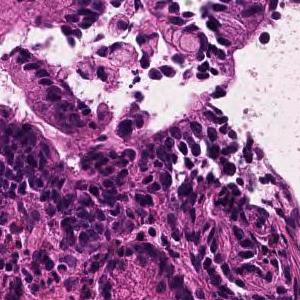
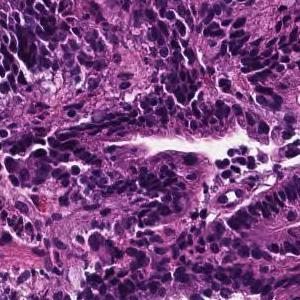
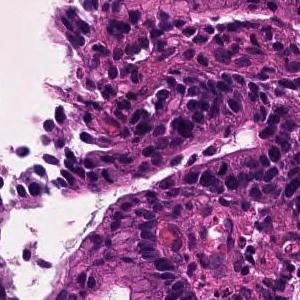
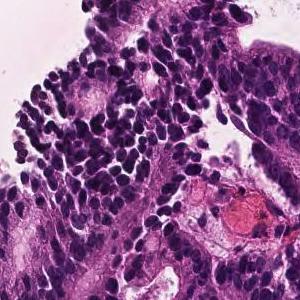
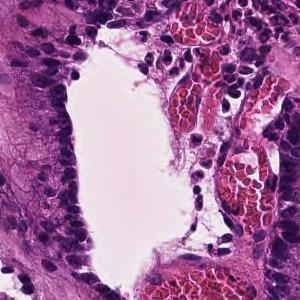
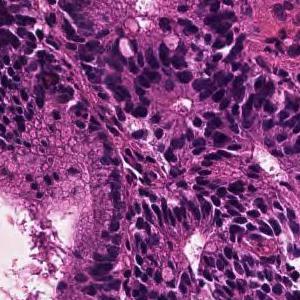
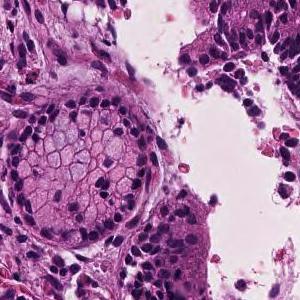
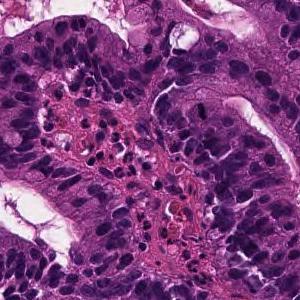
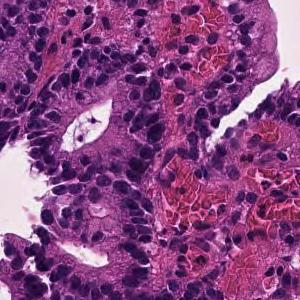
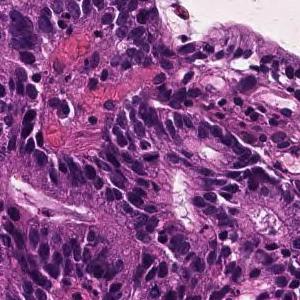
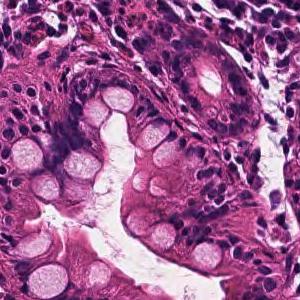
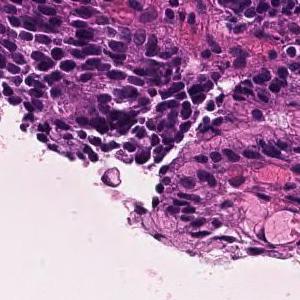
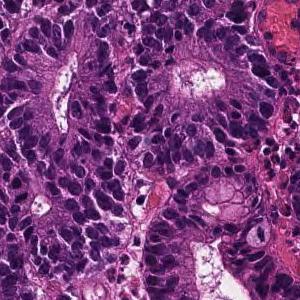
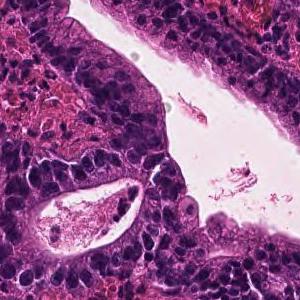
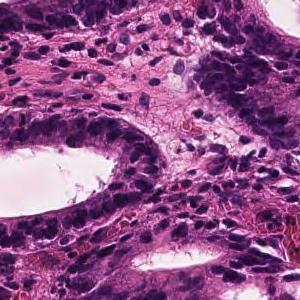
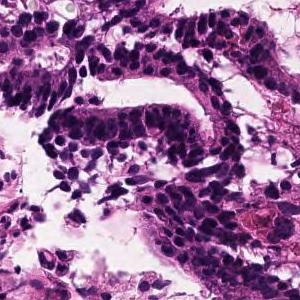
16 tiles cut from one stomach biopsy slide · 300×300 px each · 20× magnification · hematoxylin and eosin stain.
Pathology report for the slide these tiles were cut from. The report and the diagnosis cover the entire slide, so not every feature they name need be visible here, and some tissue shown may not be tumor.
In the superficial epithelium, tumor tissue that invades by forming medium-sized to small, irregular ducts is observed. moderately differentiated tubular adenocarcinoma.
